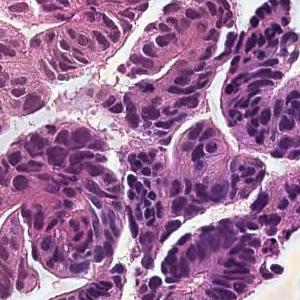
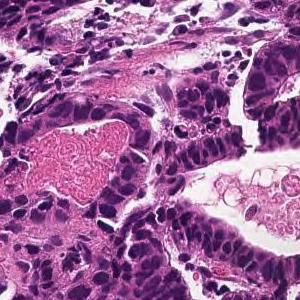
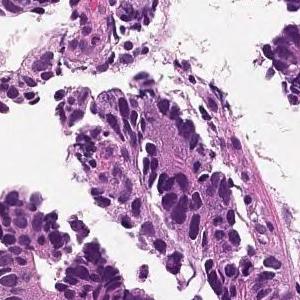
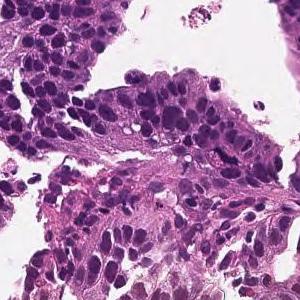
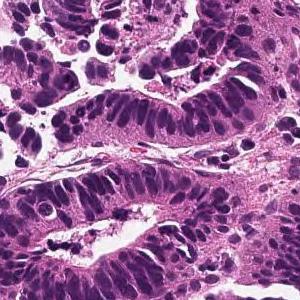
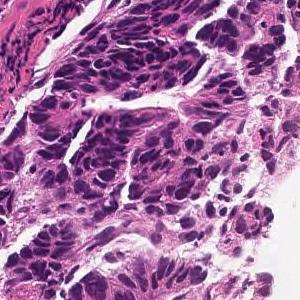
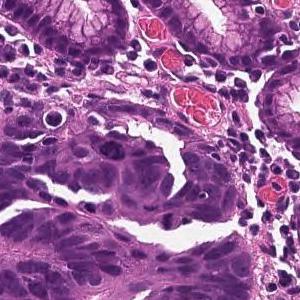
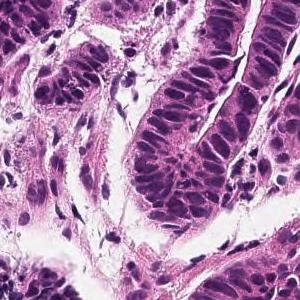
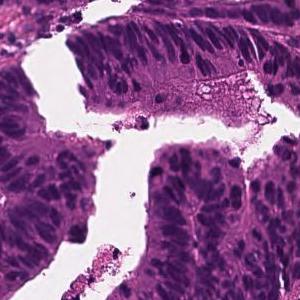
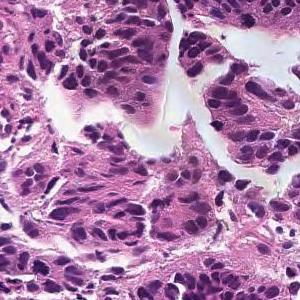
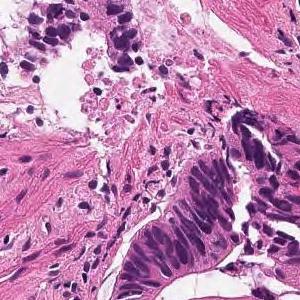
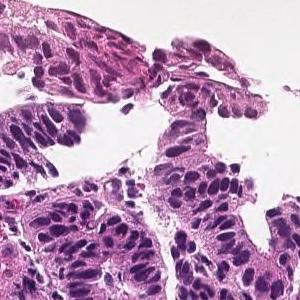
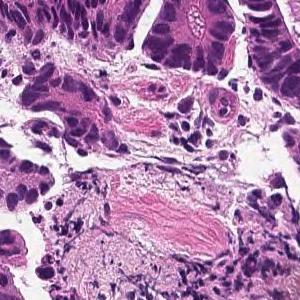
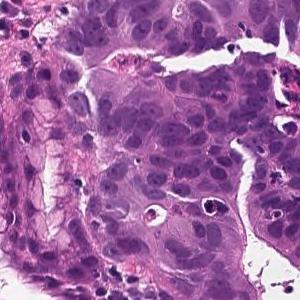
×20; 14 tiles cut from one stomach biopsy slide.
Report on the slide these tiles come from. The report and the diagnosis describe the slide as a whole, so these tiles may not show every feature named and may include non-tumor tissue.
From the superficial epithelium to the muscularis mucosae, tumor tissue consisting of medium-sized and irregular glandular ducts infiltrating is observed. Well differentiated tubular adenocarcinoma
